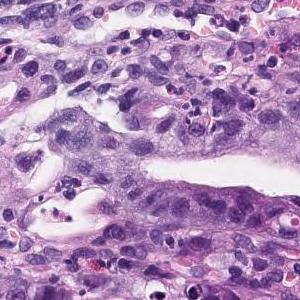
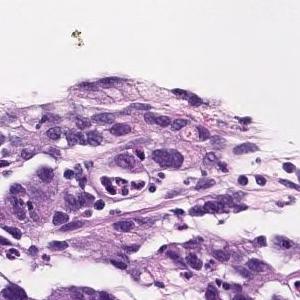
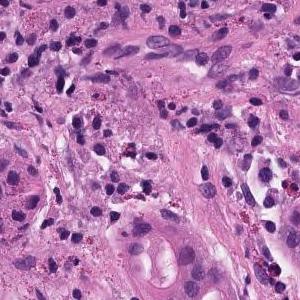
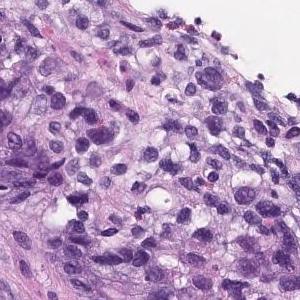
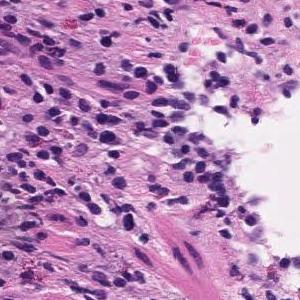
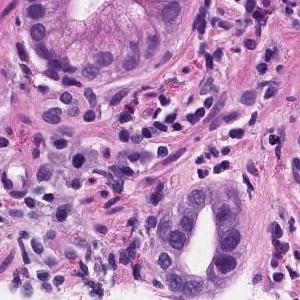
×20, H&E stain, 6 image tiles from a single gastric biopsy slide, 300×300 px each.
Pathology report for the biopsy slide these tiles were cut from. The report and the diagnosis cover the entire slide, so not every feature they name need be visible here, and some tissue shown may not be tumor.
moderately differentiated tubular adenocarcinoma, Poorly differentiated adenocarcinoma
Labeled in the dataset as poorly differentiated adenocarcinoma, solid type, a category of the Japanese Classification of Gastric Carcinoma; in the WHO 2019 classification it is tubular adenocarcinoma, poorly differentiated.
